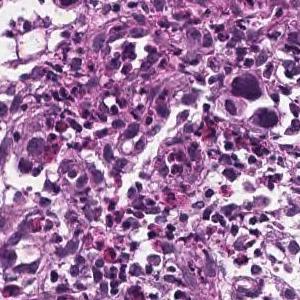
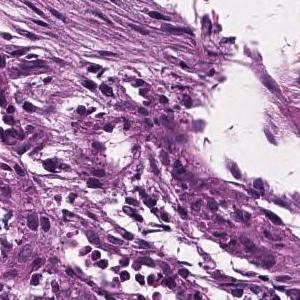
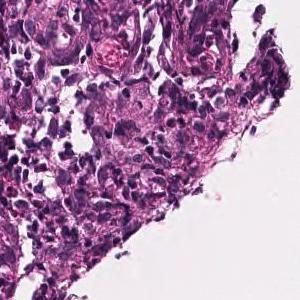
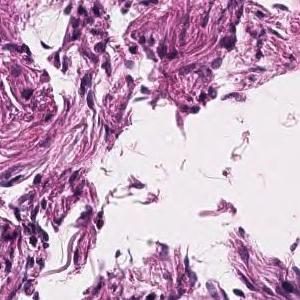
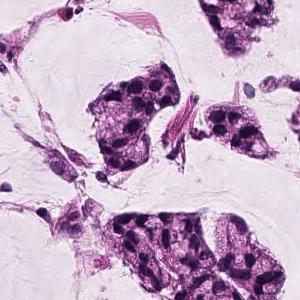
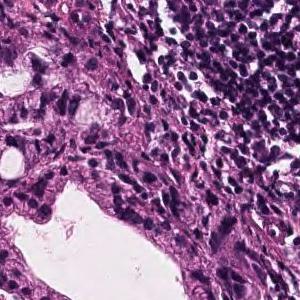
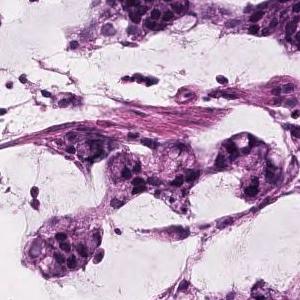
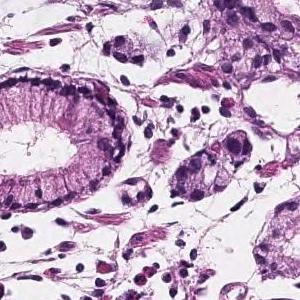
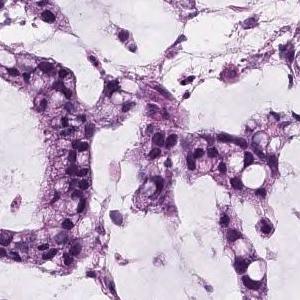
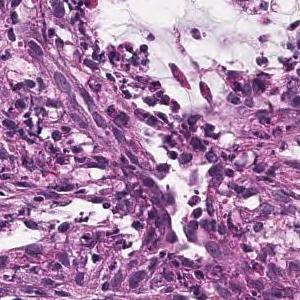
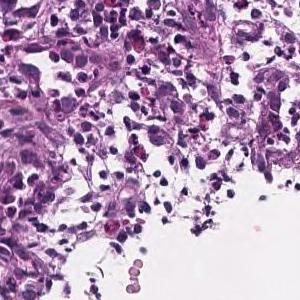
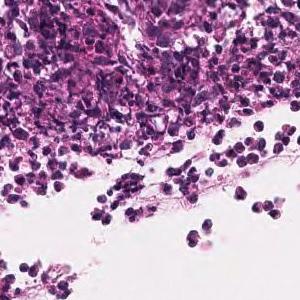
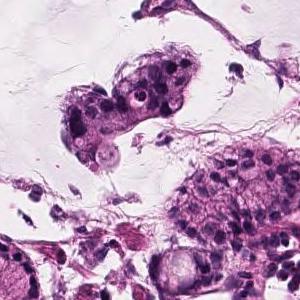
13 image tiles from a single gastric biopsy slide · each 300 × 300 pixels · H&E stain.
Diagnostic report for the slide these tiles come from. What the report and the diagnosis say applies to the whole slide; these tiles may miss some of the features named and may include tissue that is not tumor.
Atypical epithelial cells form obscure ductal structures or small solid follicles, and tumor tissue that proliferates invasively with proliferation of inflammatory granulation tissue is observed. Mucinous adenocarcinoma .
